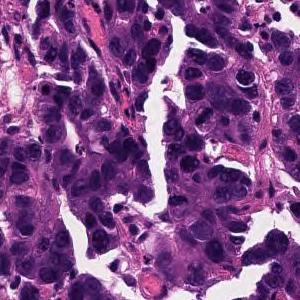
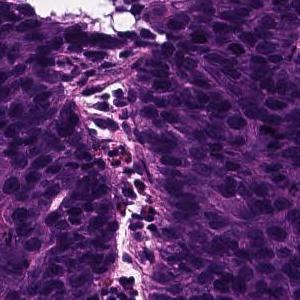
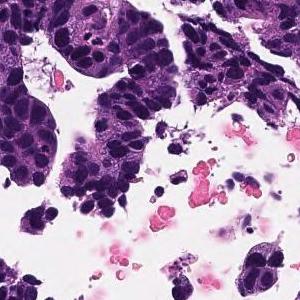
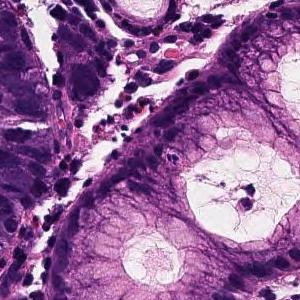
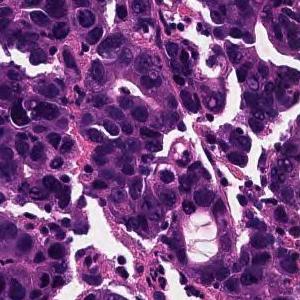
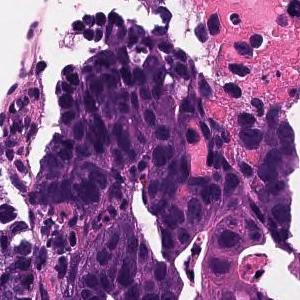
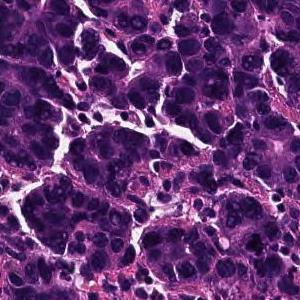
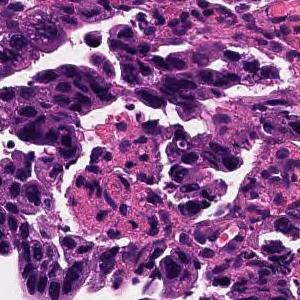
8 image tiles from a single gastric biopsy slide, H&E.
Report on the slide these tiles come from. The report and the diagnosis describe the slide as a whole, so these tiles may not show every feature named and may include non-tumor tissue.
In the superficial epithelium, tumor tissue that invades by forming medium-sized to small, irregular ducts is observed. moderately differentiated tubular adenocarcinoma.
